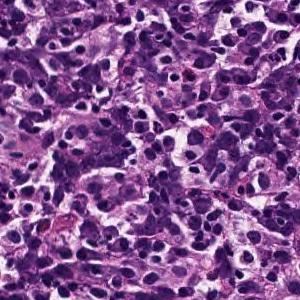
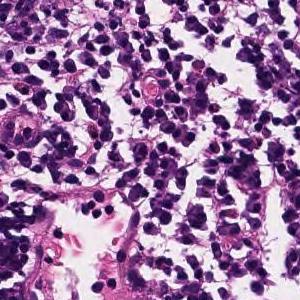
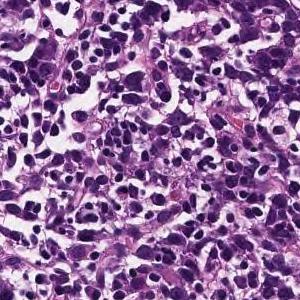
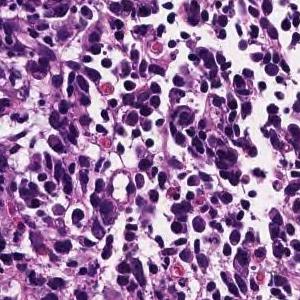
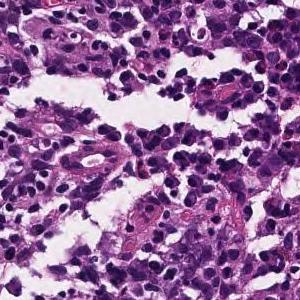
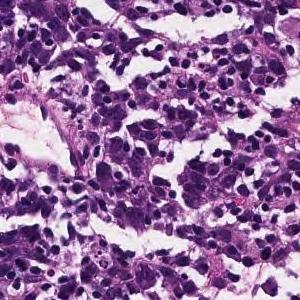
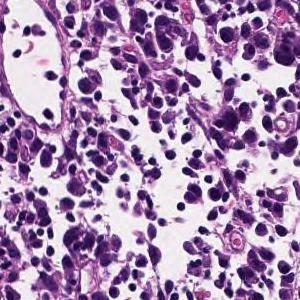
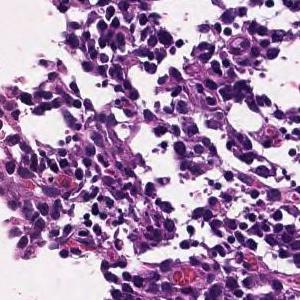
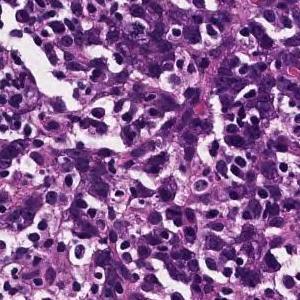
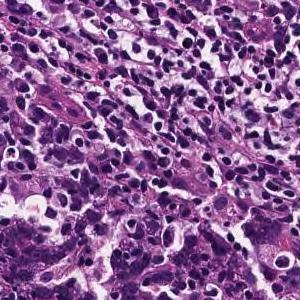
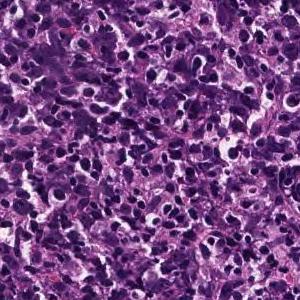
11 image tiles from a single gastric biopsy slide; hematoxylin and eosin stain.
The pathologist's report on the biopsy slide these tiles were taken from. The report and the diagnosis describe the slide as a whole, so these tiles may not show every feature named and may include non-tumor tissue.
Tumor tissue consisting of cord-like or small, irregular glandular ducts fused and infiltrated is observed in the superficial epithelium. Poorly differentiated adenocarcinoma, non-solid type
The non-solid type named here is a Japanese Classification of Gastric Carcinoma category.
